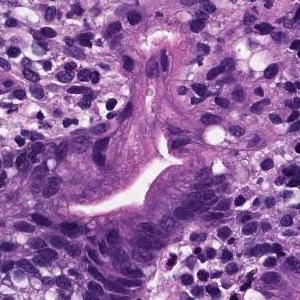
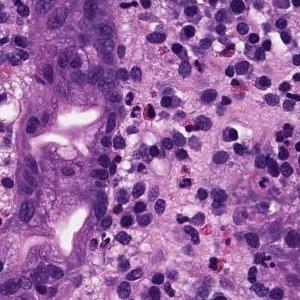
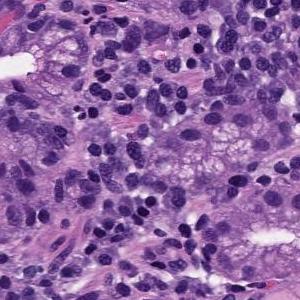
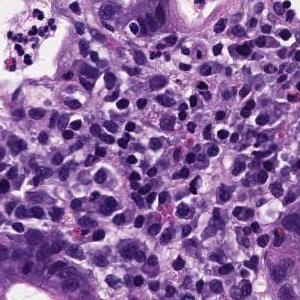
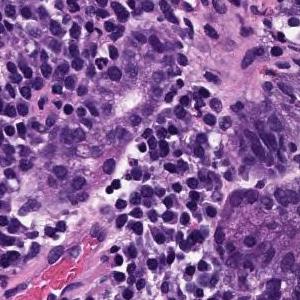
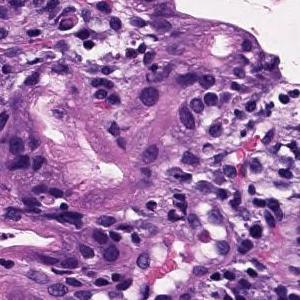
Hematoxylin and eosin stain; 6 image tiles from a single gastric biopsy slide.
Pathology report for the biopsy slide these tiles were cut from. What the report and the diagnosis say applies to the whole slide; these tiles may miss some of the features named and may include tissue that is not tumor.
Medium to small, irregular glandular ducts are formed in the superficial epithelium, and in some cases, the glandular ducts are fused to show solid alveolar lesions and infiltrating tumor tissue is observed. Moderately to poorly differentiated adenocarcinoma.
